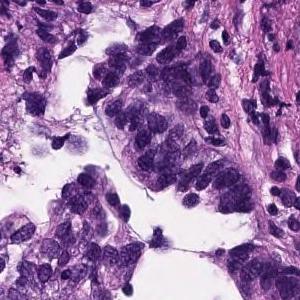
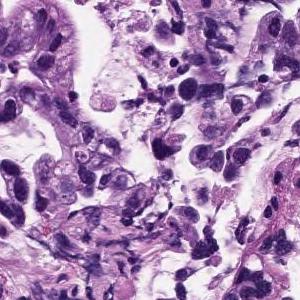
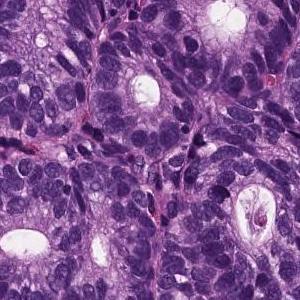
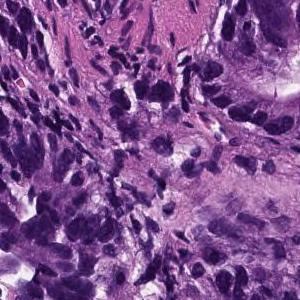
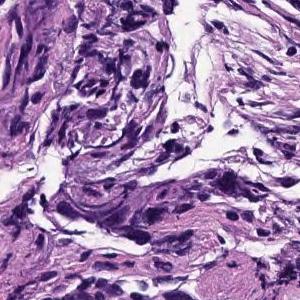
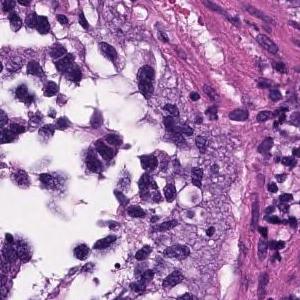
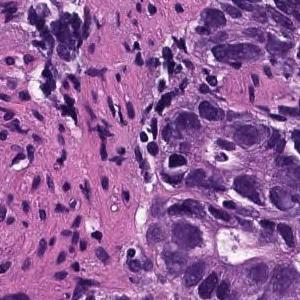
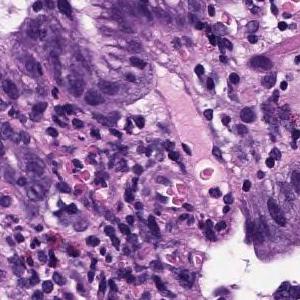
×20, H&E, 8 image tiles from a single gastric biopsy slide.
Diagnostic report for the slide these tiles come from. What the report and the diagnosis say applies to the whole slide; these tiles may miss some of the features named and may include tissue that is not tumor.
In the superficial epithelium, tumor tissue that invades by forming medium-sized to small, irregular ducts is observed. Moderately differentiated adenocarcinoma.
Subtype: Moderately differentiated tubular adenocarcinoma.
